H&E, ×20, 11 image tiles from a single gastric biopsy slide.
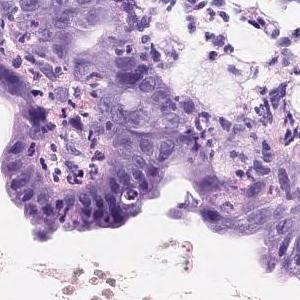
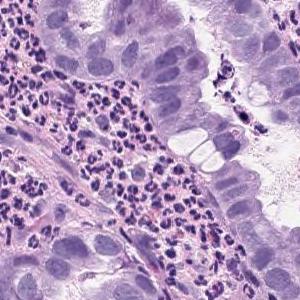
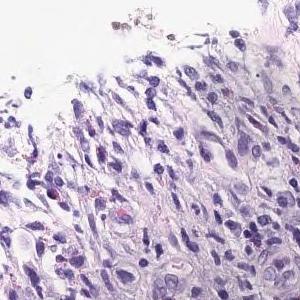
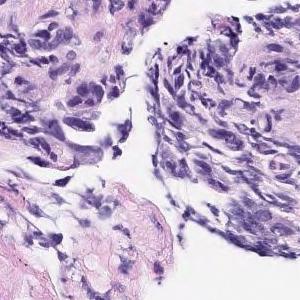
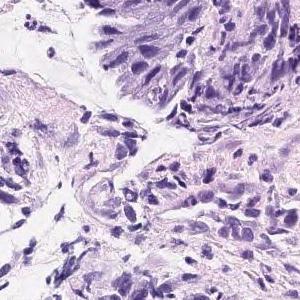
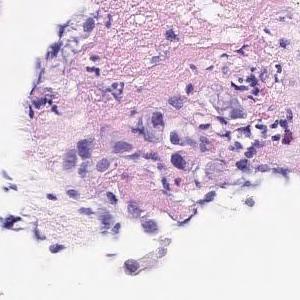
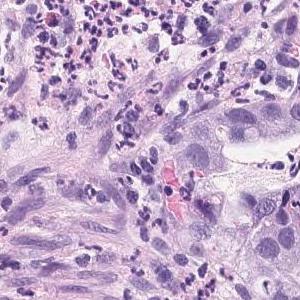
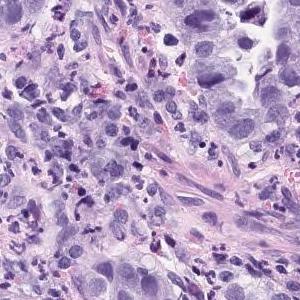
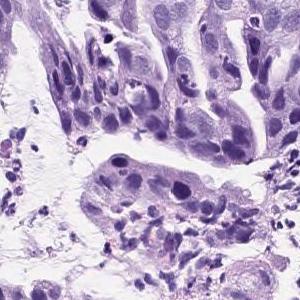
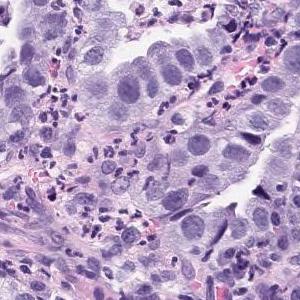
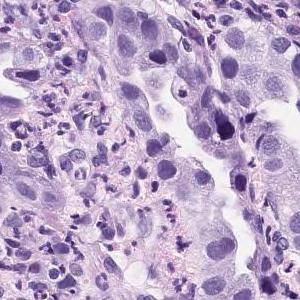
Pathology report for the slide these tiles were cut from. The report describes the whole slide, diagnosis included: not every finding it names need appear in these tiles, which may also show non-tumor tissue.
Atypical l cells with atypical nuclei forming solid or diffuse vesicles or small irregular atypical ducts and growing in a complex manner. Well differentiated tubular adenocarcinoma
